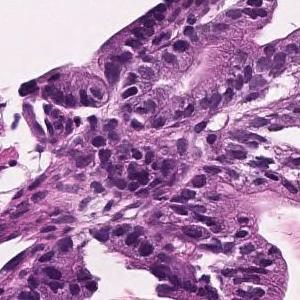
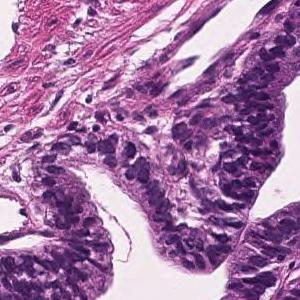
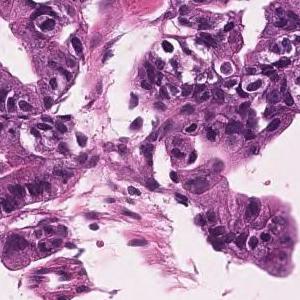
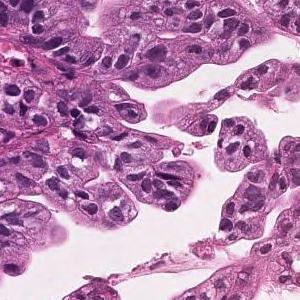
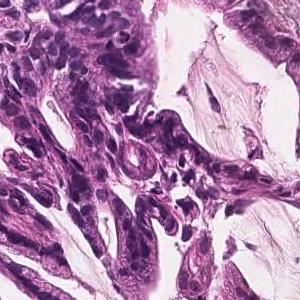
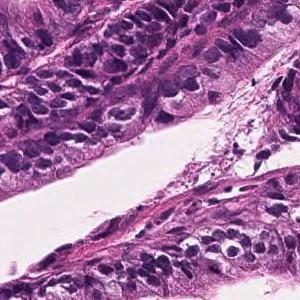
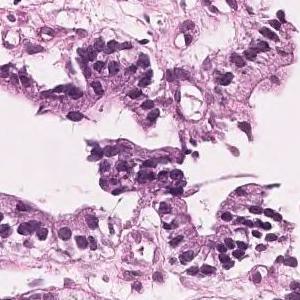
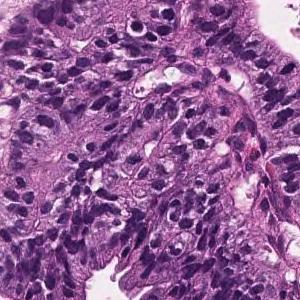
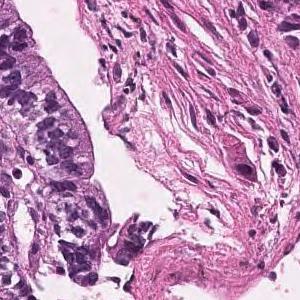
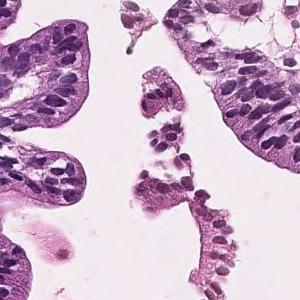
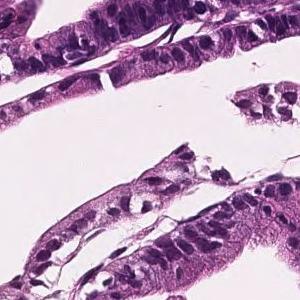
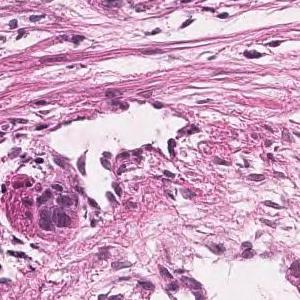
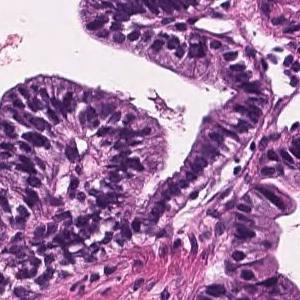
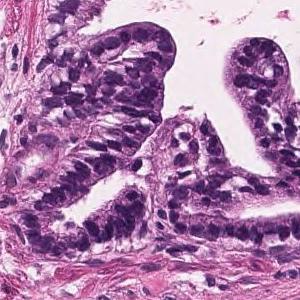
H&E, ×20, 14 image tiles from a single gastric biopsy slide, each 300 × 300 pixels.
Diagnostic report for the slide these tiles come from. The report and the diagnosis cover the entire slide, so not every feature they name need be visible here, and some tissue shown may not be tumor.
Tumor cells are large, highly columnar, large club-shaped nuclei, and are associated with chromatin aggregation. Papillary adenocarcinoma.
